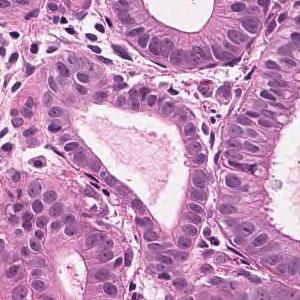
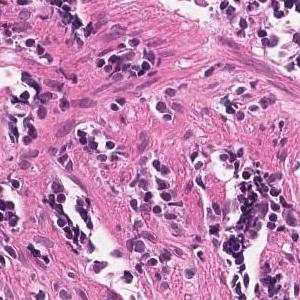
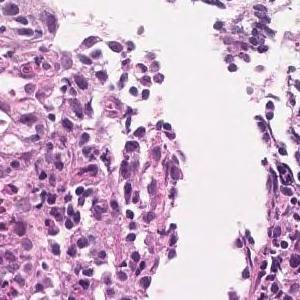
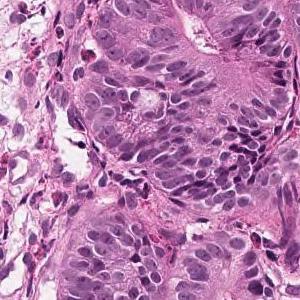
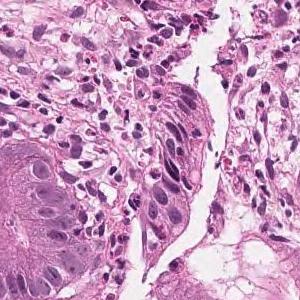
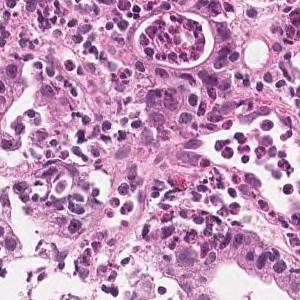
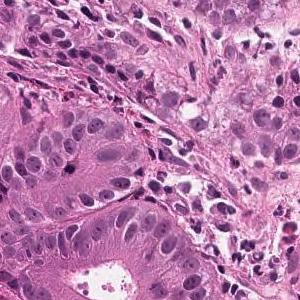
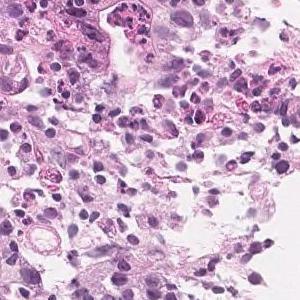
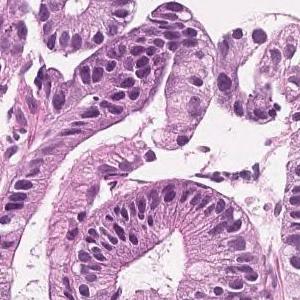
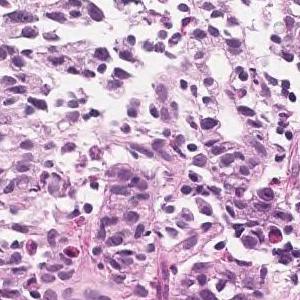
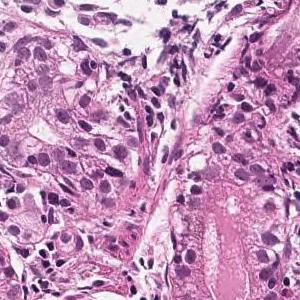
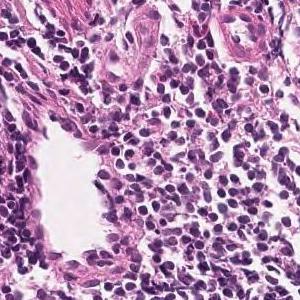
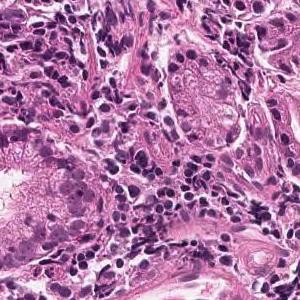
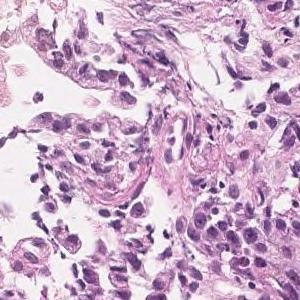
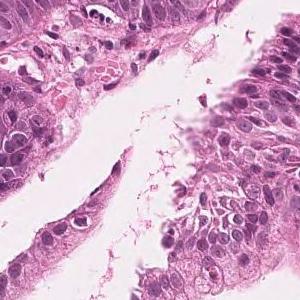
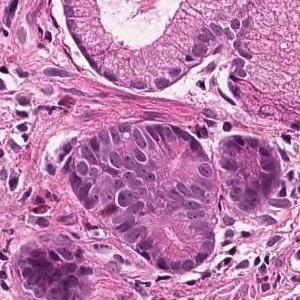
16 patches cut from one gastric biopsy slide, H&E stain.
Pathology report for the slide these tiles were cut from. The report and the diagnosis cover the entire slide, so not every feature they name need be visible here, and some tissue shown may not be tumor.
On the superficial epithelium, tumor tissue consisting of large, irregular glandular ducts partially fused and infiltrated is observed. Well to moderately differentiated tubular adenocarcinoma (well differentiated tubular adenocarcinoma, moderately differentiated tubular adenocarcinoma)
Subtype: Well to moderately differentiated tubular adenocarcinoma.
